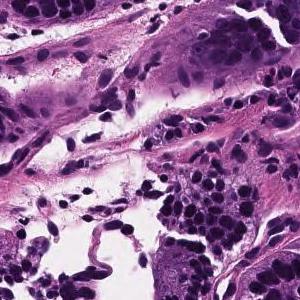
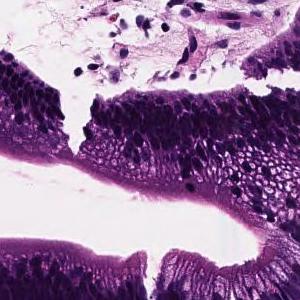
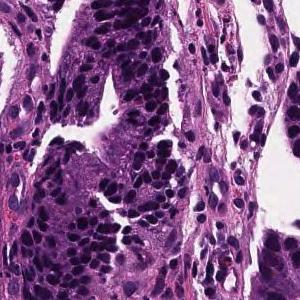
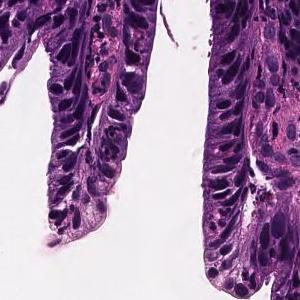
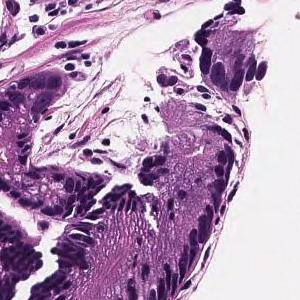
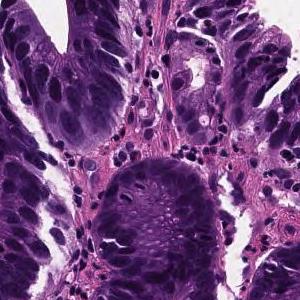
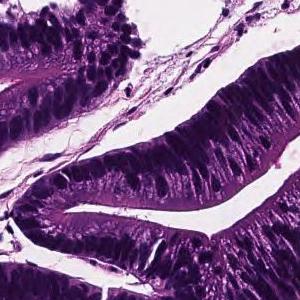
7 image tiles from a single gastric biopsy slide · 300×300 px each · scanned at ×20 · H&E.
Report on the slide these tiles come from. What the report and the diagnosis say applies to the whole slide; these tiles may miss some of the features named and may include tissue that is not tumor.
Tumor cells are large, highly columnar, large club-shaped nuclei, and are associated with chromatin aggregation. Papillary adenocarcinoma.
